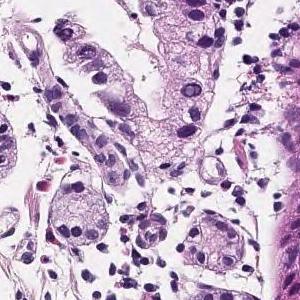
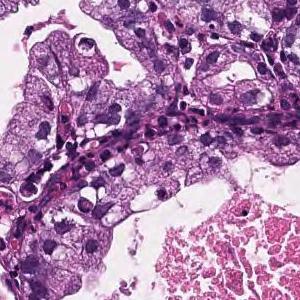
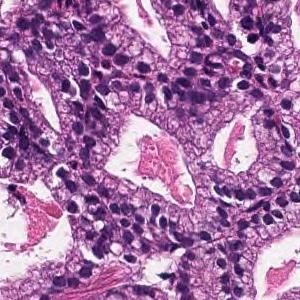
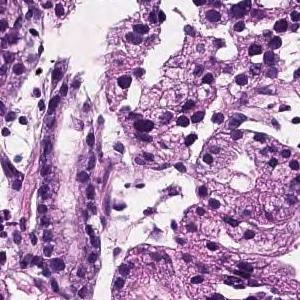
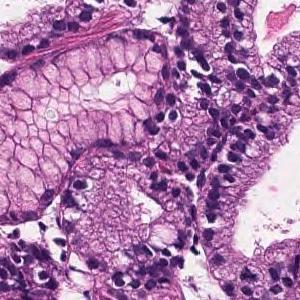
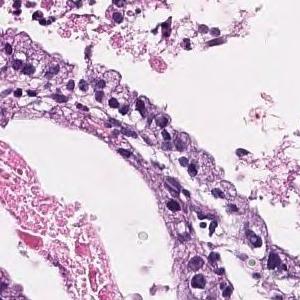
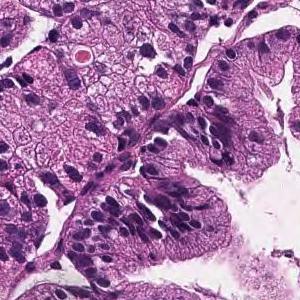
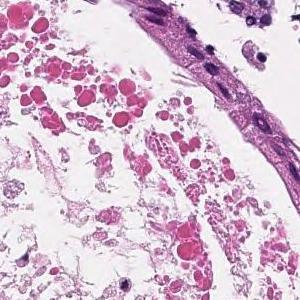
H&E stain; ×20; 8 patches cut from one gastric biopsy slide.
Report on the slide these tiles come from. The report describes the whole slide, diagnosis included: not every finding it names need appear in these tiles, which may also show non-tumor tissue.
In the superficial epithelium, tumor tissue that infiltrates by forming medium-sized papillary or small irregular ducts is observed. Papillary adenocarcinoma
